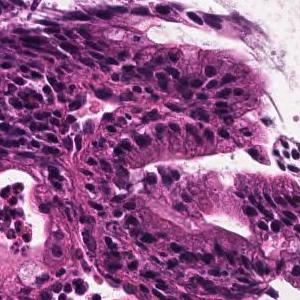
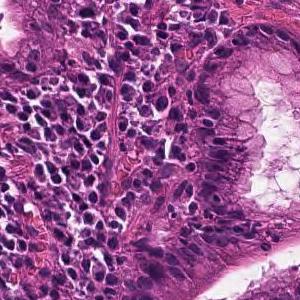
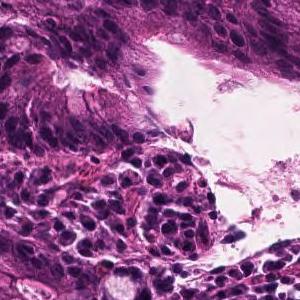
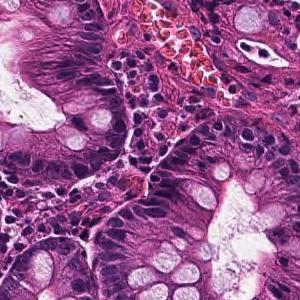
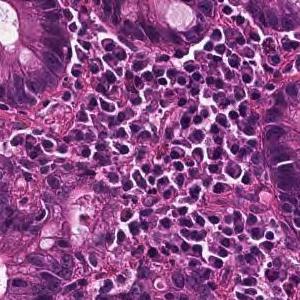
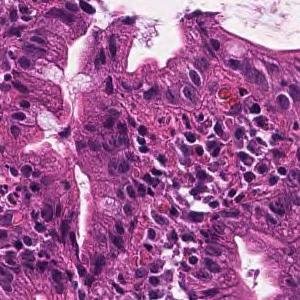
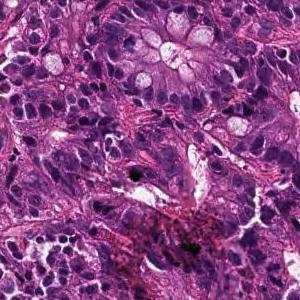
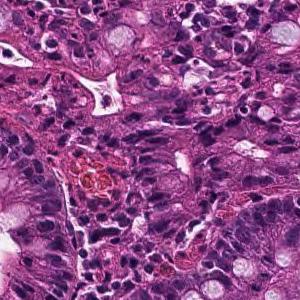
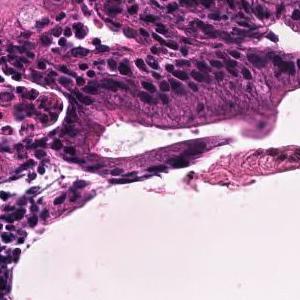
9 tiles from the same stomach biopsy slide; H&E stain.
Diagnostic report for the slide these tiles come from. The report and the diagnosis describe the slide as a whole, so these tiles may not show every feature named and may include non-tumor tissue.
In the superficial epithelium, tumor tissue that invades by forming medium-sized to small, irregular ducts is observed. moderately differentiated tubular adenocarcinoma.
